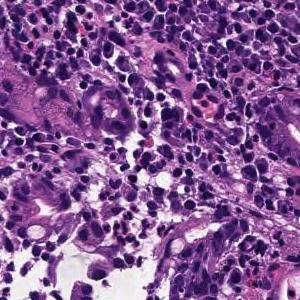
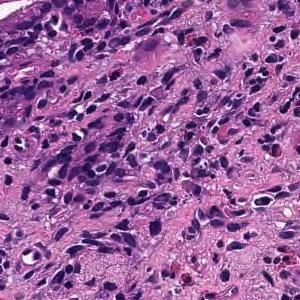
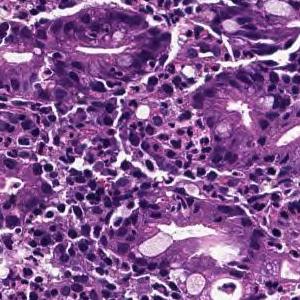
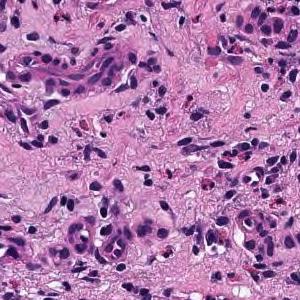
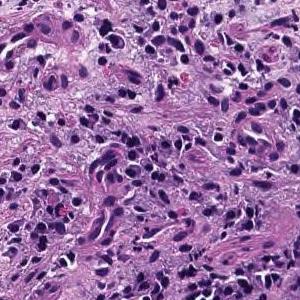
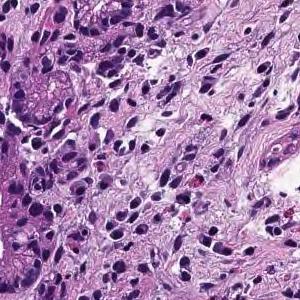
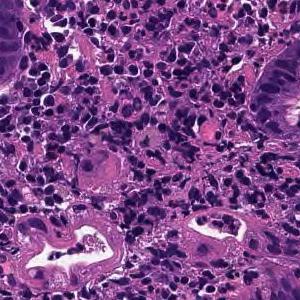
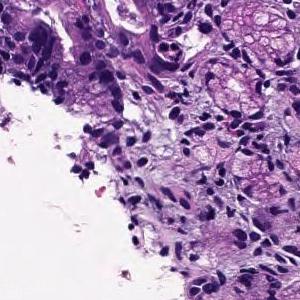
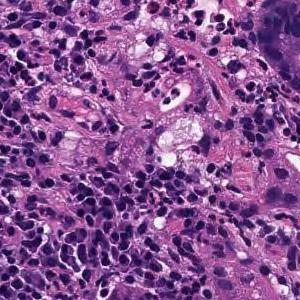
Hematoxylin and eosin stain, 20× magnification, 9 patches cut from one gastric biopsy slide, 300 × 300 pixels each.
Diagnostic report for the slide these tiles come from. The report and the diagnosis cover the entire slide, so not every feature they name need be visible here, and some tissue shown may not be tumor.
In the superficial epithelium, tumor tissue that invades by forming medium-sized to small, irregular ducts is observed. moderately differentiated tubular adenocarcinoma.
